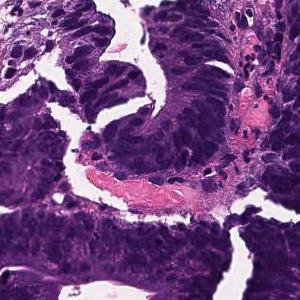
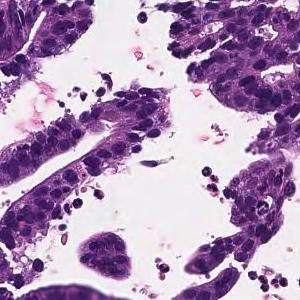
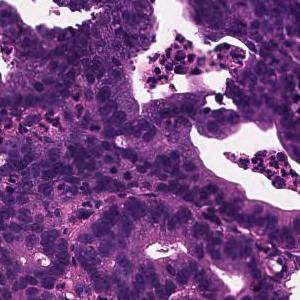
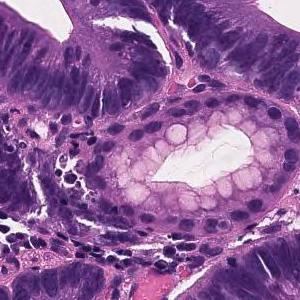
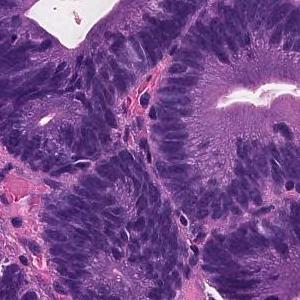
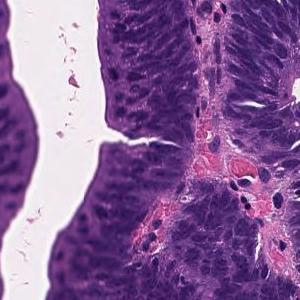
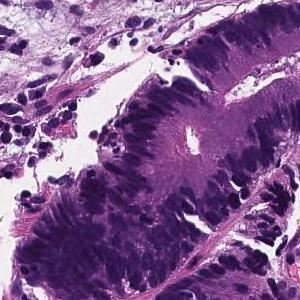
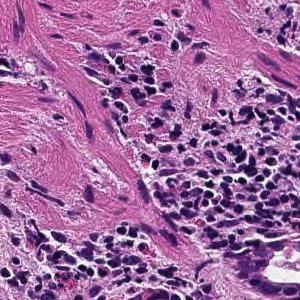
8 patches cut from one gastric biopsy slide, 300 × 300 pixels each, 20× magnification, H&E stain.
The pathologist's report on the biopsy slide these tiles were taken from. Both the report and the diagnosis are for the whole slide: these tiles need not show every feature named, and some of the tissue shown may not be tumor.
Tumor tissue consisting of large papillary structures is found in the superficial epithelium. Papillary adenocarcinoma.
